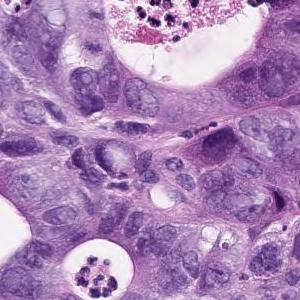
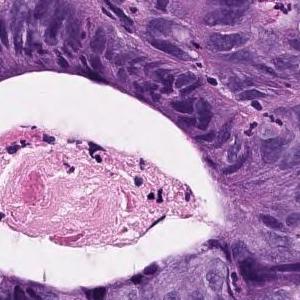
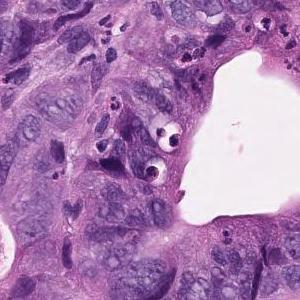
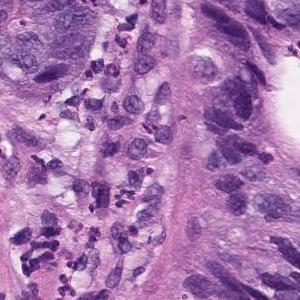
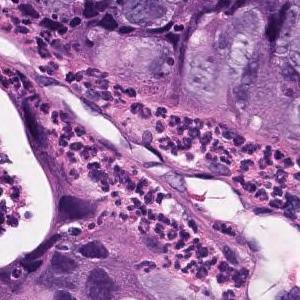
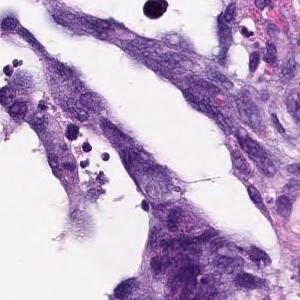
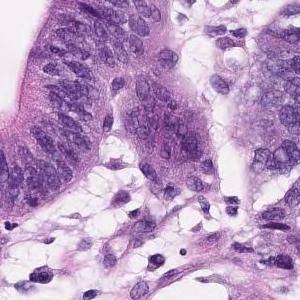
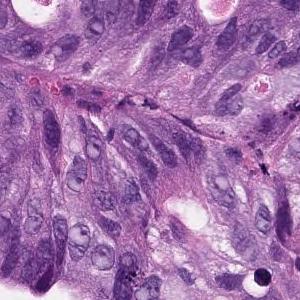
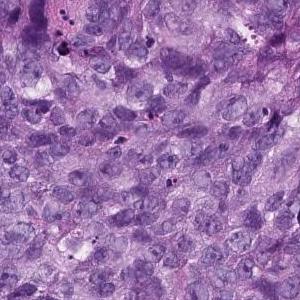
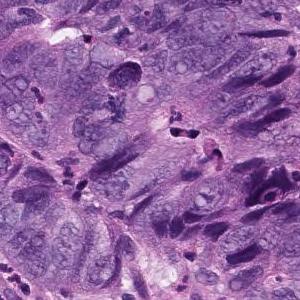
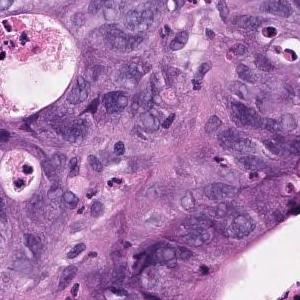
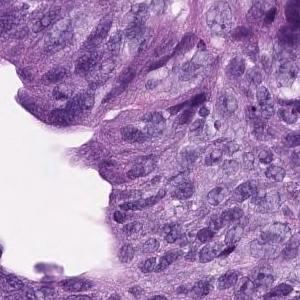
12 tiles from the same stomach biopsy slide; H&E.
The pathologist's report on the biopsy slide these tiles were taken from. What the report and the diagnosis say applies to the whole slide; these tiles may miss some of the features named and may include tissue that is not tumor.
In the superficial epithelium, tumor tissue that invades by forming medium-sized to small, irregular ducts is observed. Moderately differentiated adenocarcinoma.
Tumor subtype: moderately differentiated tubular adenocarcinoma.
